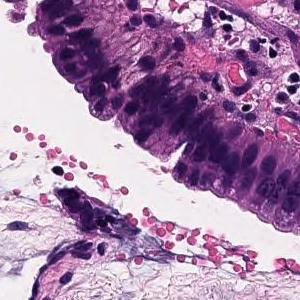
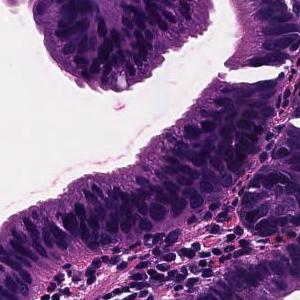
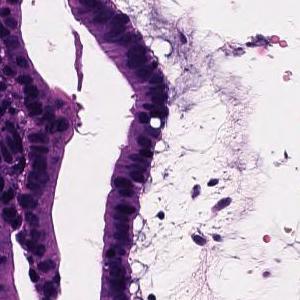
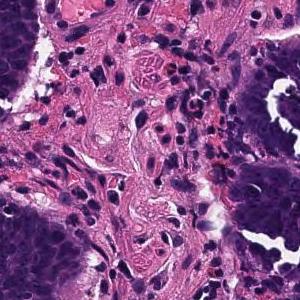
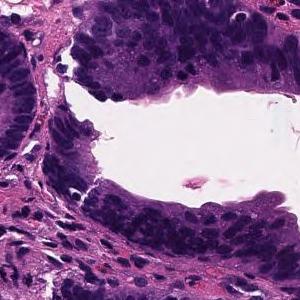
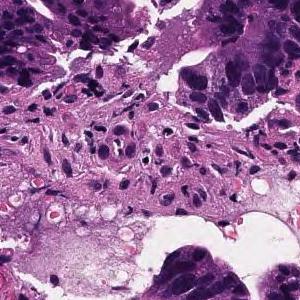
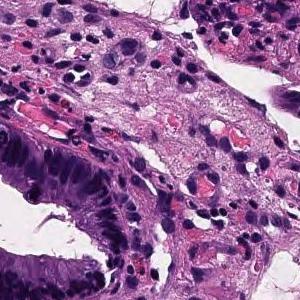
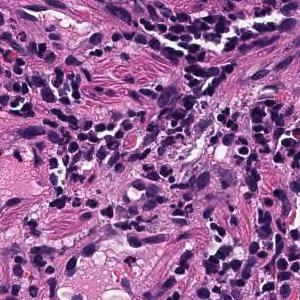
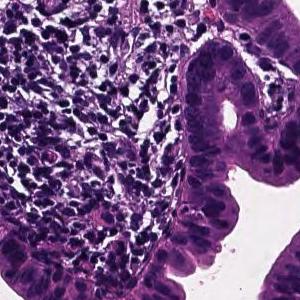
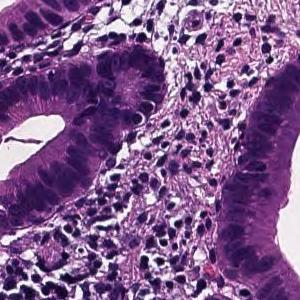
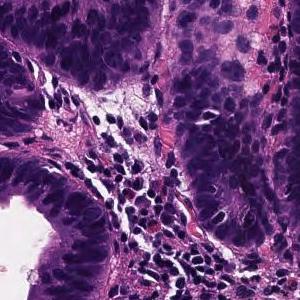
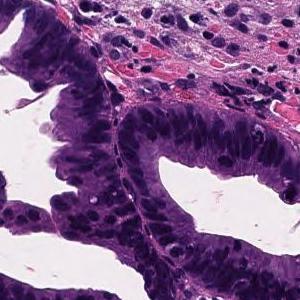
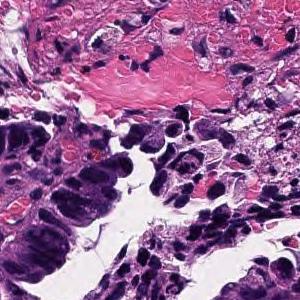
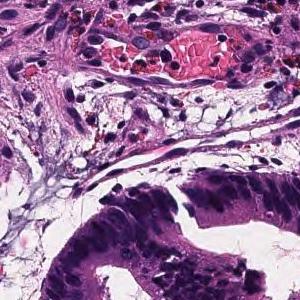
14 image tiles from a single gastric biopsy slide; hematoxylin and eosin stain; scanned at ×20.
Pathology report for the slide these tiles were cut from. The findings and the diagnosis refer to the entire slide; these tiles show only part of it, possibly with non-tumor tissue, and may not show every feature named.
Tumor cells are large, highly columnar, large club-shaped nuclei, and are associated with chromatin aggregation. Papillary adenocarcinoma.
